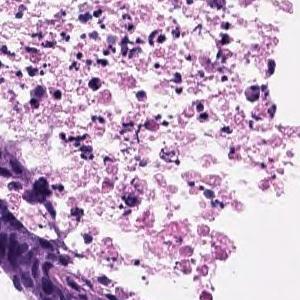
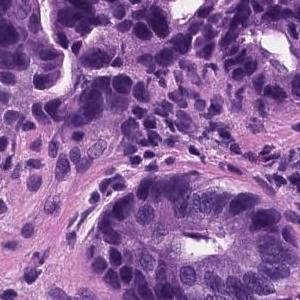
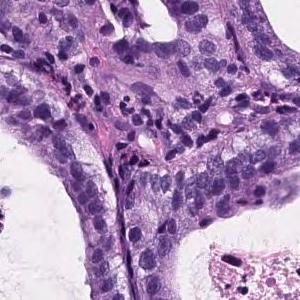
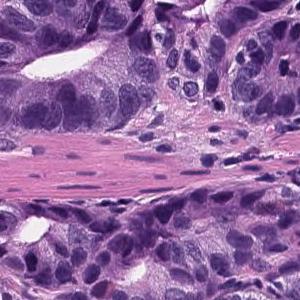
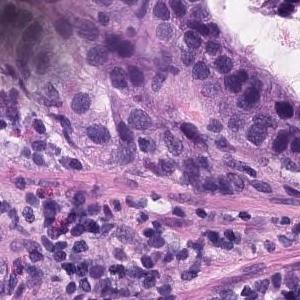
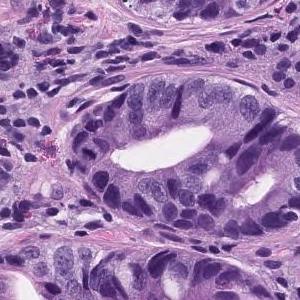
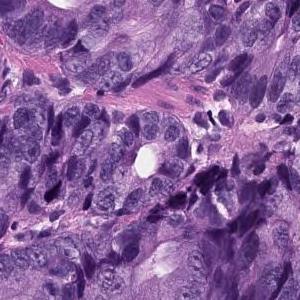
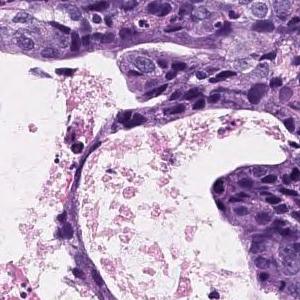
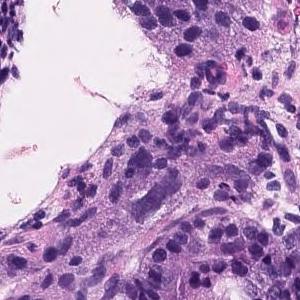
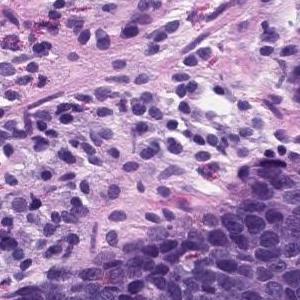
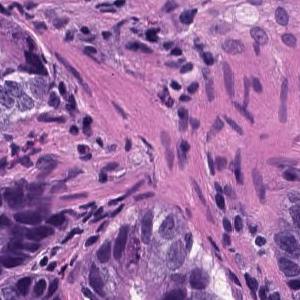
11 image tiles from a single gastric biopsy slide, 300 × 300 pixels each, 20× magnification, hematoxylin and eosin stain.
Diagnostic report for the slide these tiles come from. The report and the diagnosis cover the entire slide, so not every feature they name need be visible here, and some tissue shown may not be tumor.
Tumor tissue consisting of medium-sized and irregular ducts is observed infiltrating in the superficial epithelium. Tumor cells are highly columnar, with nuclei aligned basolaterally and polarized. Well differentiated tubular adenocarcinoma.
